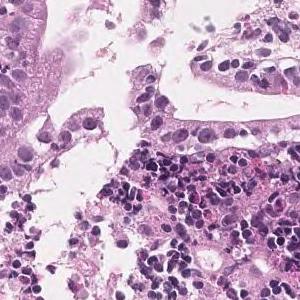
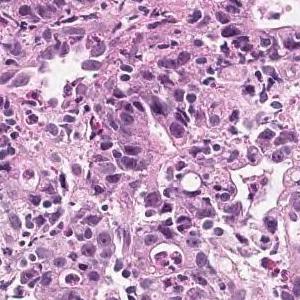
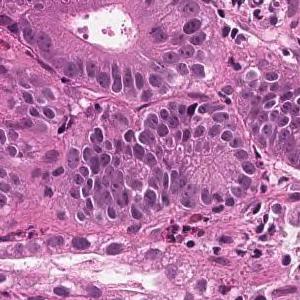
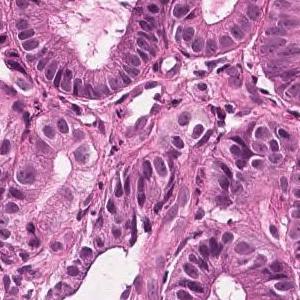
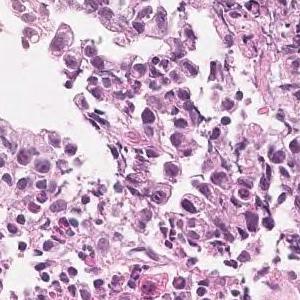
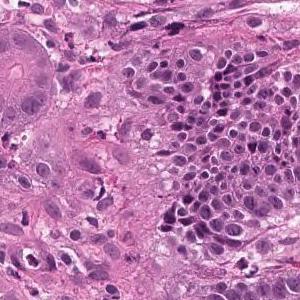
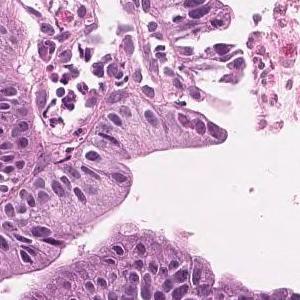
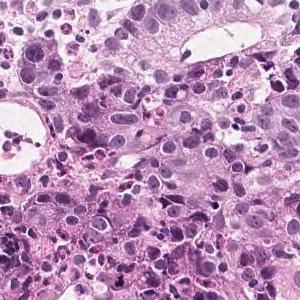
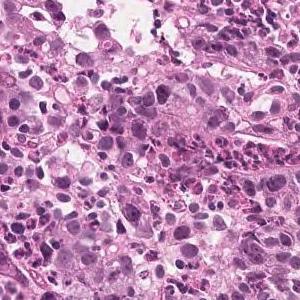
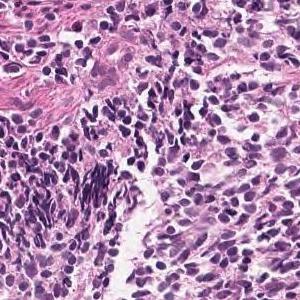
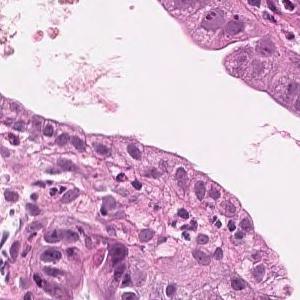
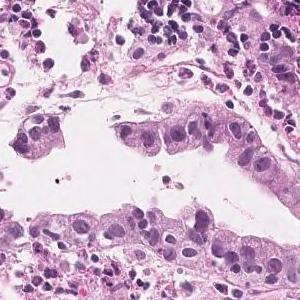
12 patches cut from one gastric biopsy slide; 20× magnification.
The pathologist's report on the biopsy slide these tiles were taken from. The findings and the diagnosis refer to the entire slide; these tiles show only part of it, possibly with non-tumor tissue, and may not show every feature named.
On the superficial epithelium, tumor tissue consisting of large, irregular glandular ducts partially fused and infiltrated is observed. Well to moderately differentiated tubular adenocarcinoma (well differentiated tubular adenocarcinoma, moderately differentiated tubular adenocarcinoma)
Subtype: Well to moderately differentiated tubular adenocarcinoma.
